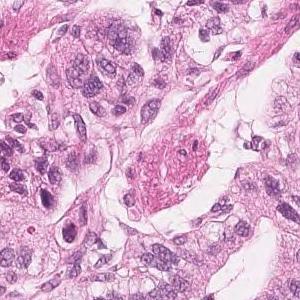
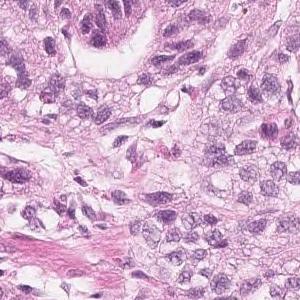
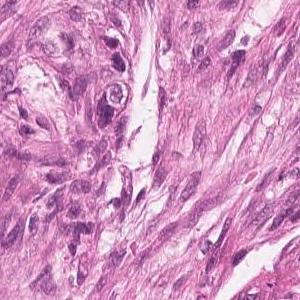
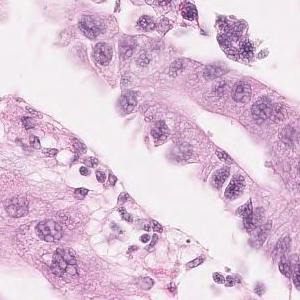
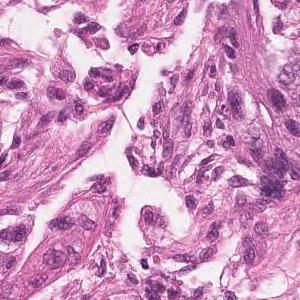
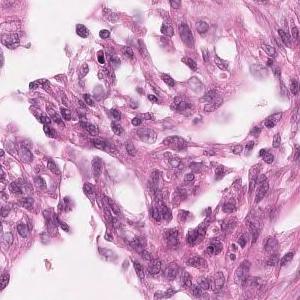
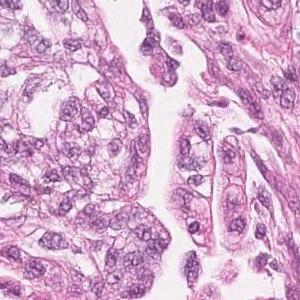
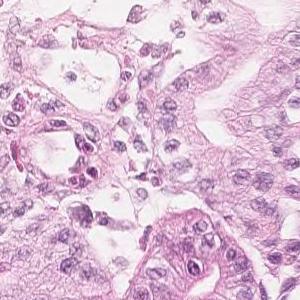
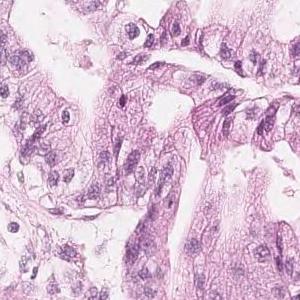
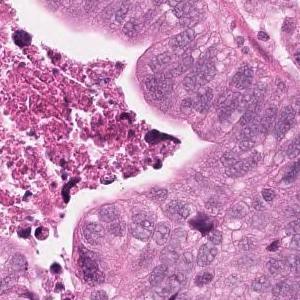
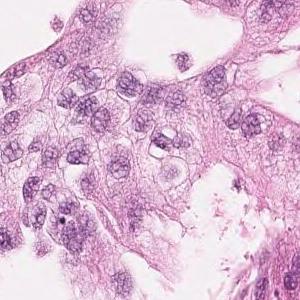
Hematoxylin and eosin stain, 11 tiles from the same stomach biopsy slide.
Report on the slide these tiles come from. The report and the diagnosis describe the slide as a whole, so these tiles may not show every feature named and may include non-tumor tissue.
Highly columnar epithelium with disordered nuclear localization proliferates showing fusion ductal construction. moderately differentiated tubular adenocarcinoma
